Hematoxylin and eosin stain, 20× magnification, 11 tiles from the same stomach biopsy slide.
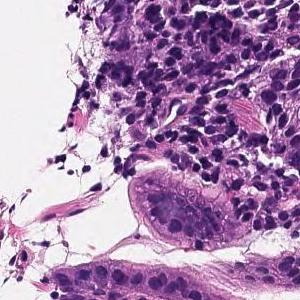
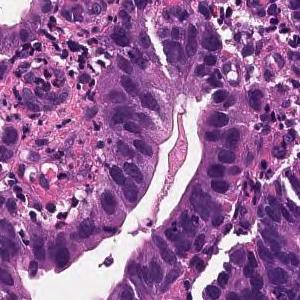
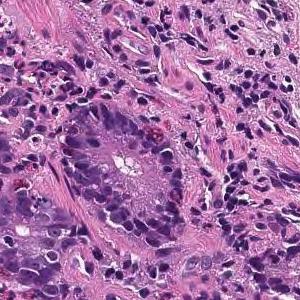
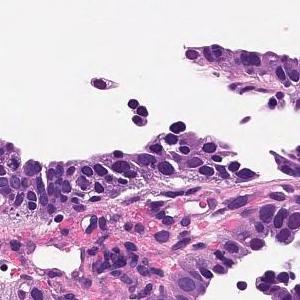
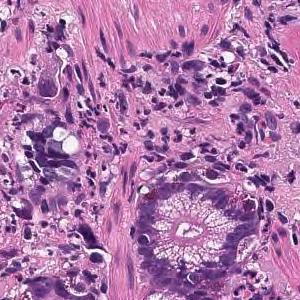
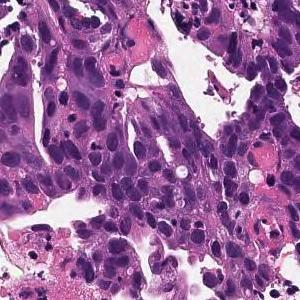
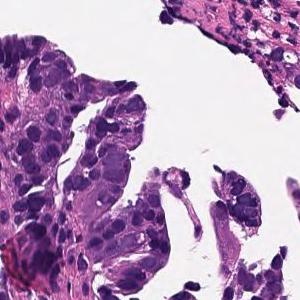
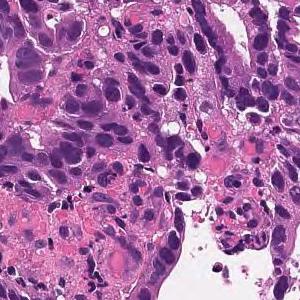
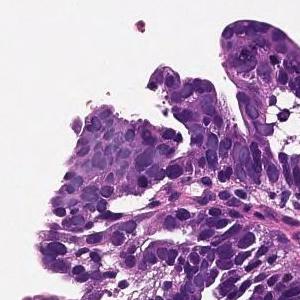
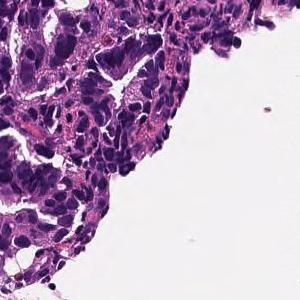
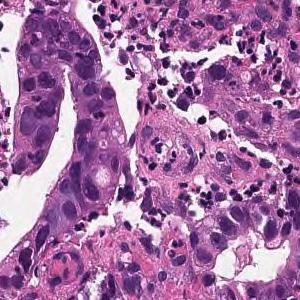
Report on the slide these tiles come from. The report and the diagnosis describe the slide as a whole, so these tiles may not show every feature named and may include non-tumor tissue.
Tumor cells are large, highly columnar, large club-shaped nuclei, and are associated with chromatin aggregation. Papillary adenocarcinoma.
